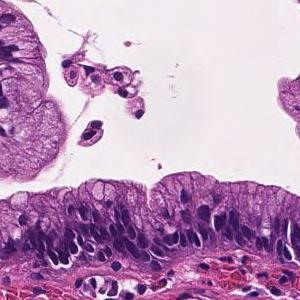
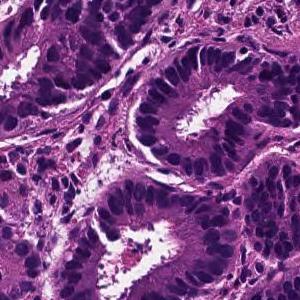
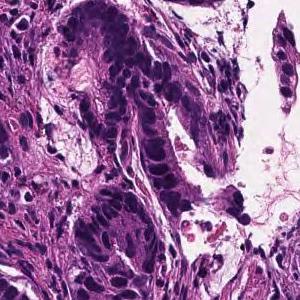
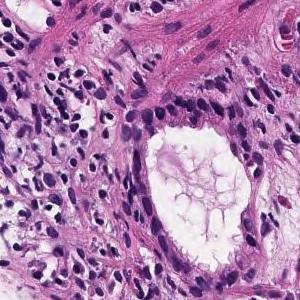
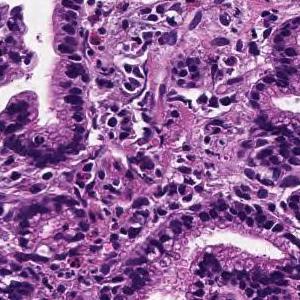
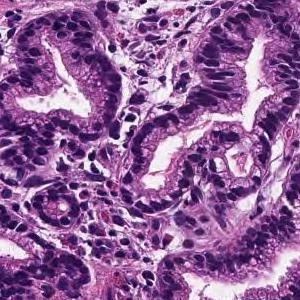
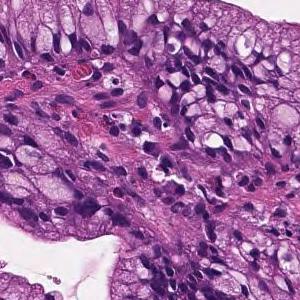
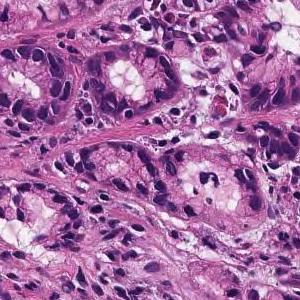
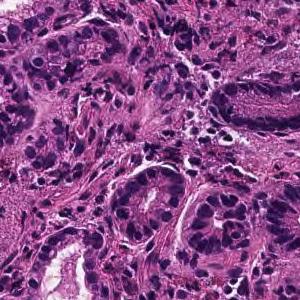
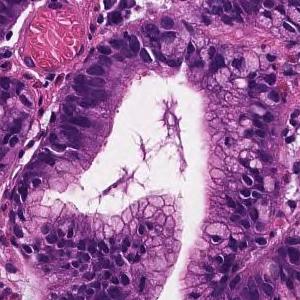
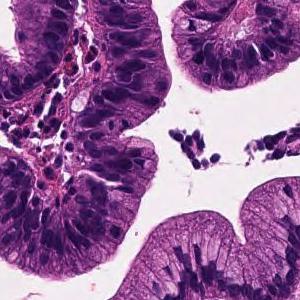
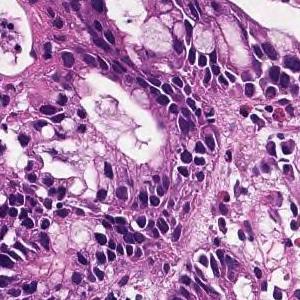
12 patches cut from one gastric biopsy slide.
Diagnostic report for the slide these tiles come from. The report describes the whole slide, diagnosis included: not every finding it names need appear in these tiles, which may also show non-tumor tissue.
On the superficial epithelium, tumor tissue consisting of medium-sized and irregular glandular ducts partially fused and infiltrated is observed. Well to moderately differentiated tubular adenocarcinoma (well differentiated tubular adenocarcinoma-moderately differentiated tubular adenocarcinoma)
Histologic type: Well to moderately differentiated tubular adenocarcinoma.
